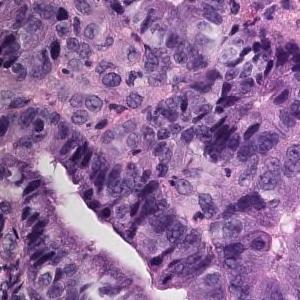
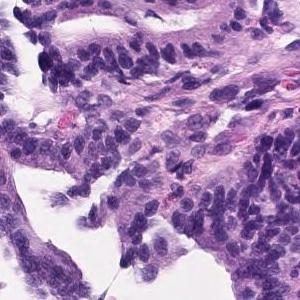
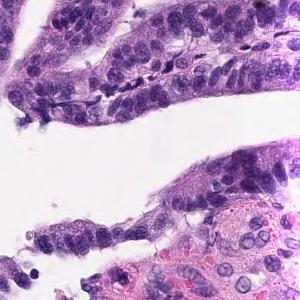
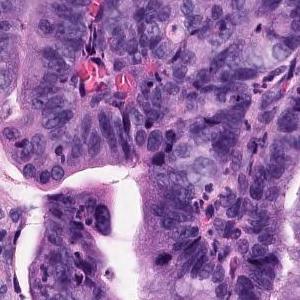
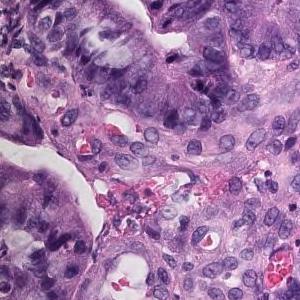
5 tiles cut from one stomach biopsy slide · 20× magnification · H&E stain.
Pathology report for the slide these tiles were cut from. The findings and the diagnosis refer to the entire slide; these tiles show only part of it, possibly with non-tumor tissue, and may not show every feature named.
Tumor tissue consisting of images of irregular fusion and proliferation of irregular tubules is observed. Well differentiated tubular adenocarcinoma
